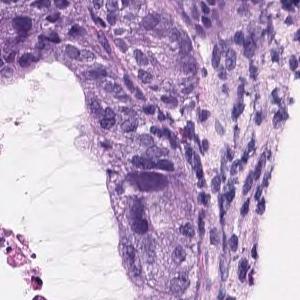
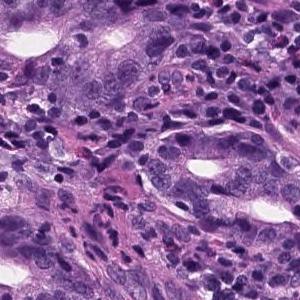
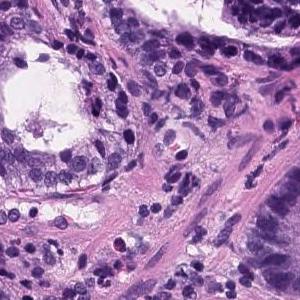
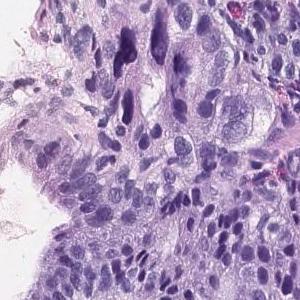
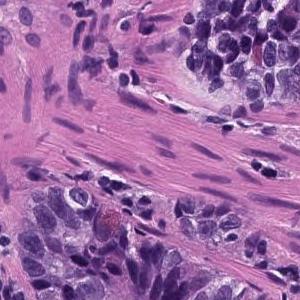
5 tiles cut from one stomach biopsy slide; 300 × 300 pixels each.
Report on the slide these tiles come from. The report and the diagnosis cover the entire slide, so not every feature they name need be visible here, and some tissue shown may not be tumor.
Tumor tissue consisting of medium-sized and irregular ducts is observed infiltrating in the superficial epithelium. Tumor cells are highly columnar, with nuclei aligned basolaterally and polarized. Well differentiated tubular adenocarcinoma.
